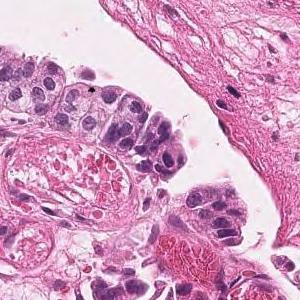
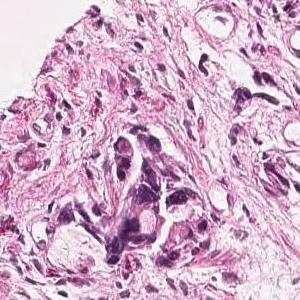
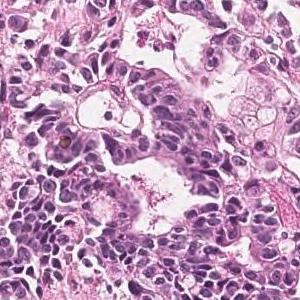
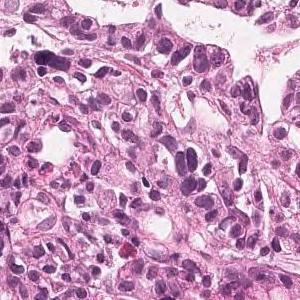
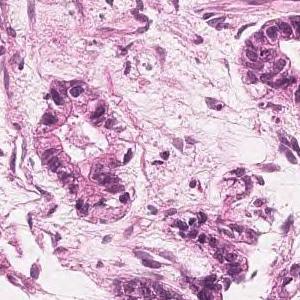
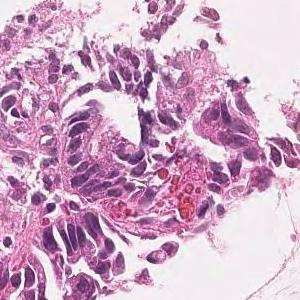
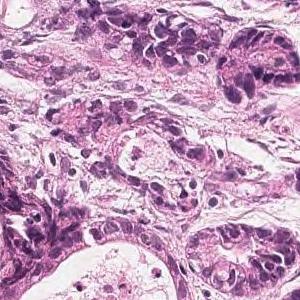
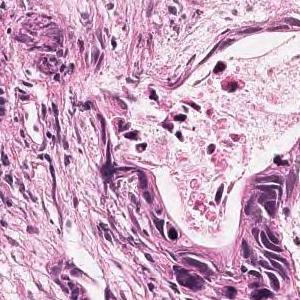
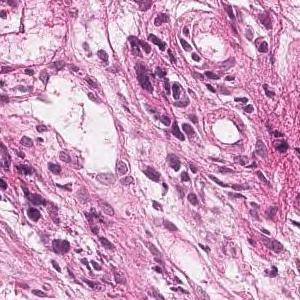
9 tiles from the same stomach biopsy slide; 300 × 300 pixels each; ×20.
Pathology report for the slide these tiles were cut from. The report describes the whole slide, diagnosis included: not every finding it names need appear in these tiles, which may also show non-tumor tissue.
On the superficial epithelium, tumor tissue consisting of large, irregular glandular ducts partially fused and infiltrated is observed. Well to moderately differentiated tubular adenocarcinoma (well differentiated tubular adenocarcinoma, moderately differentiated tubular adenocarcinoma)
Classified as well to moderately differentiated tubular adenocarcinoma.
